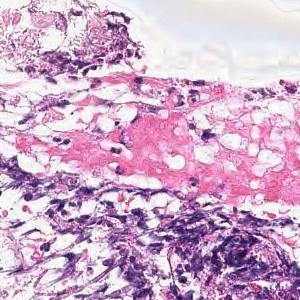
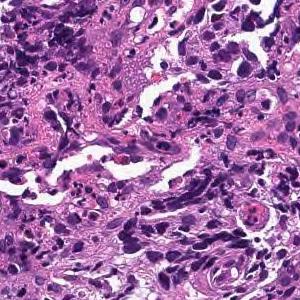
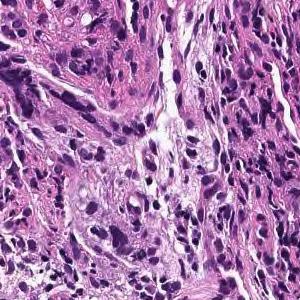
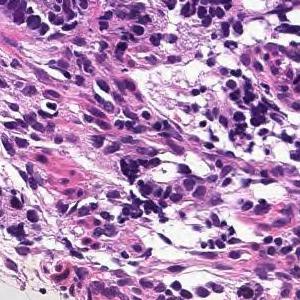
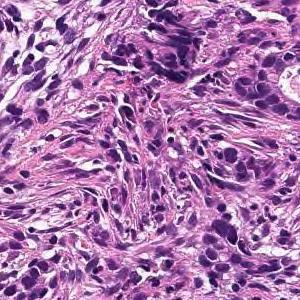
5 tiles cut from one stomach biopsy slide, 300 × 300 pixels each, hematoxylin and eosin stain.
Pathology report for the slide these tiles were cut from. The report describes the whole slide, diagnosis included: not every finding it names need appear in these tiles, which may also show non-tumor tissue.
Tumor tissue consisting of medium-sized, cord-like or irregular glandular infiltration is observed in the superficial epithelium. Poorly differentiated adenocarcinoma, non-solid type or moderately differentiated tubular adenocarcinoma
Classified as moderately to poorly differentiated adenocarcinoma.
The term "non-solid type" comes from the Japanese Classification of Gastric Carcinoma.
